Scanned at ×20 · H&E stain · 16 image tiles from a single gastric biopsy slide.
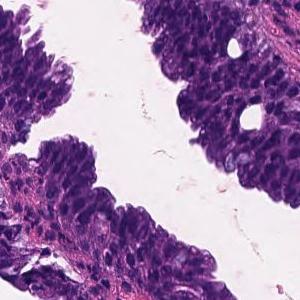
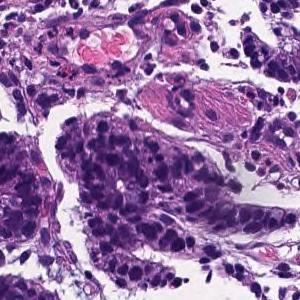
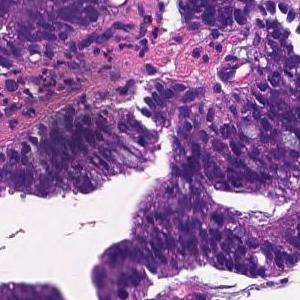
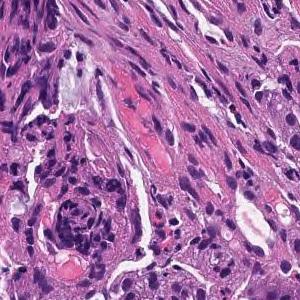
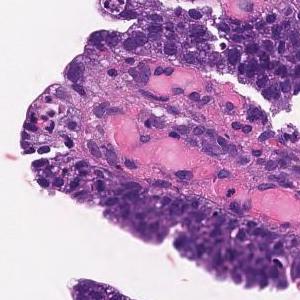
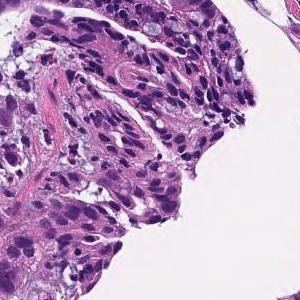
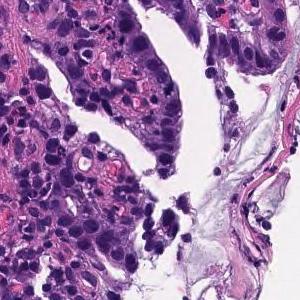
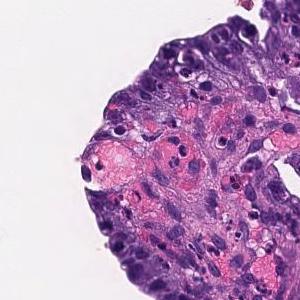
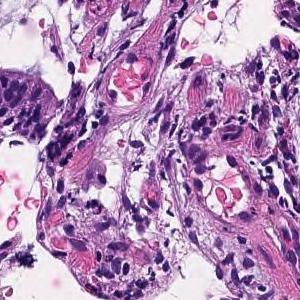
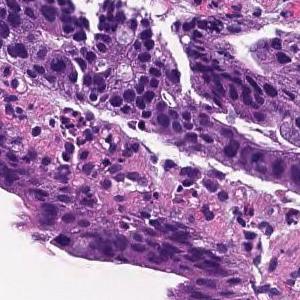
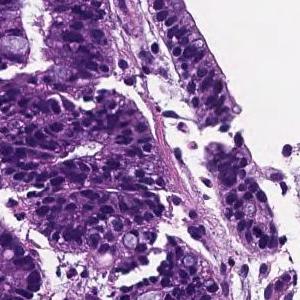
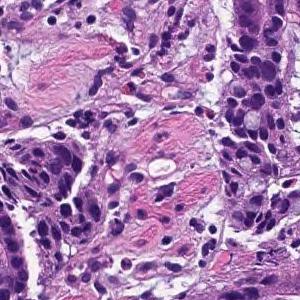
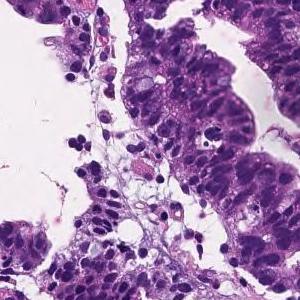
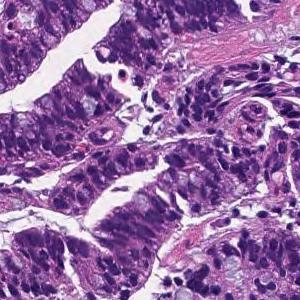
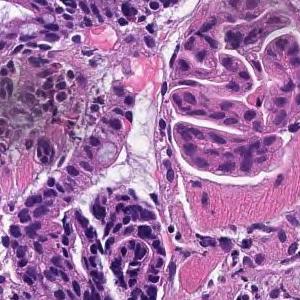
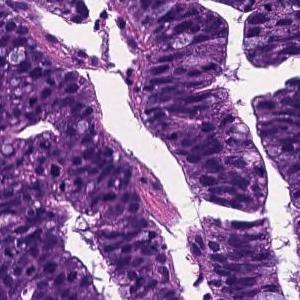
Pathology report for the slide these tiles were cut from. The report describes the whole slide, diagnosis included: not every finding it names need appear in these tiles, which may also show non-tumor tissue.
Tumor cells are large, highly columnar, large club-shaped nuclei, and are associated with chromatin aggregation. Papillary adenocarcinoma.
